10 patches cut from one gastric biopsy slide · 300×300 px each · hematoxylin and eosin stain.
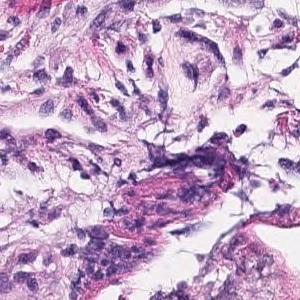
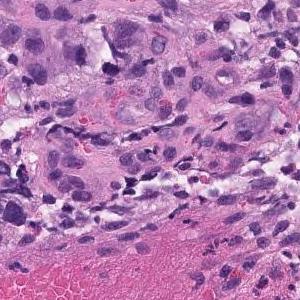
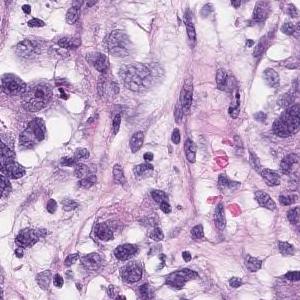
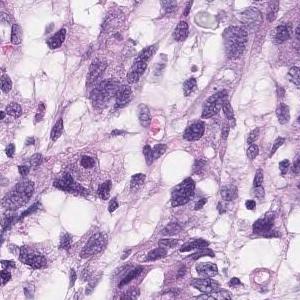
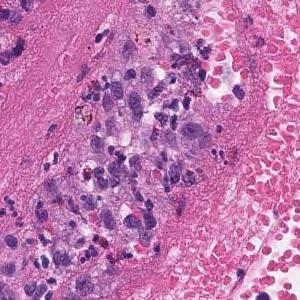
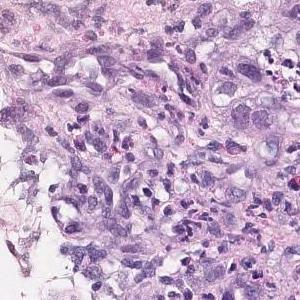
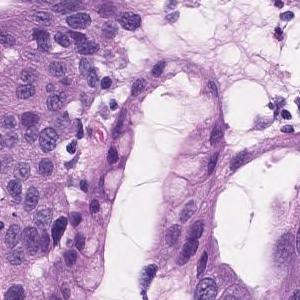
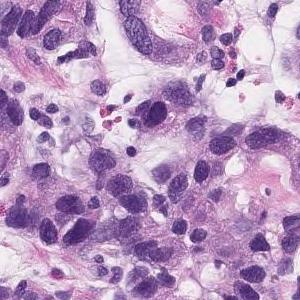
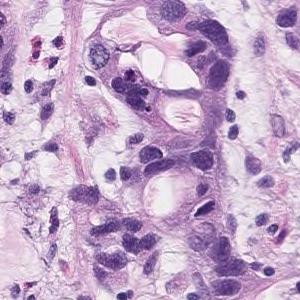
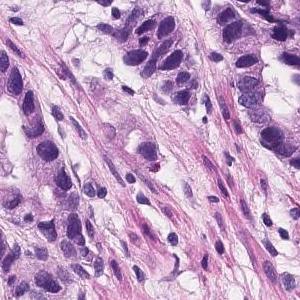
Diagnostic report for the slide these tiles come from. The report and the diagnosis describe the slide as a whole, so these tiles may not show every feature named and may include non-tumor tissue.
Group 5, Adenocarcinoma. Moderately to poorly differentiated adenocarcinoma
